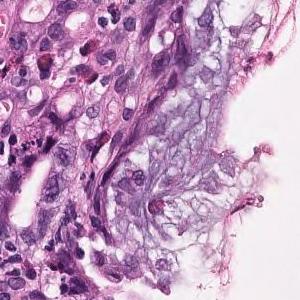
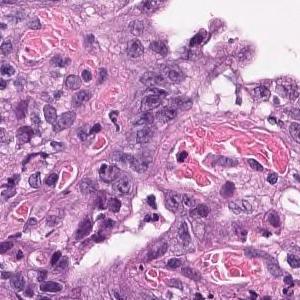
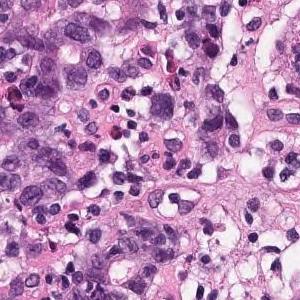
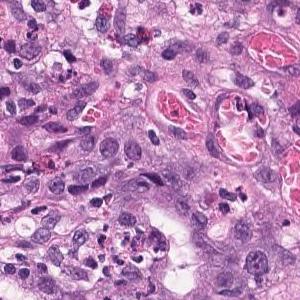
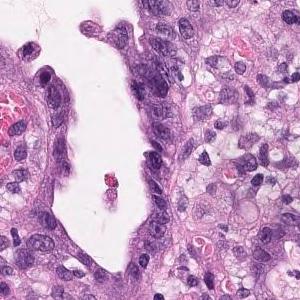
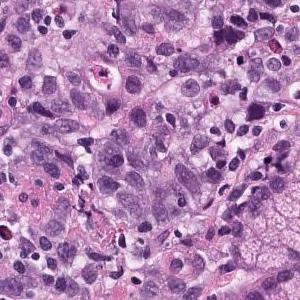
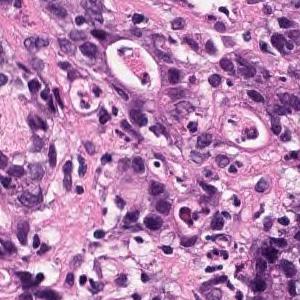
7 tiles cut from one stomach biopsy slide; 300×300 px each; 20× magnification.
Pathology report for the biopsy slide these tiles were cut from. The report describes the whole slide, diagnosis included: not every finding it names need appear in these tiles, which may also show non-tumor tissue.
Atypical ducts proliferating with obscure duct construction and solid sequences is observed. Moderately to poorly differentiated adenocarcinoma.
